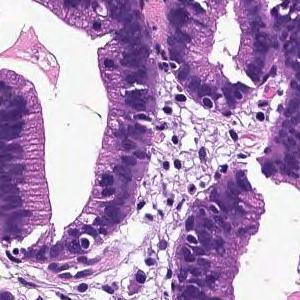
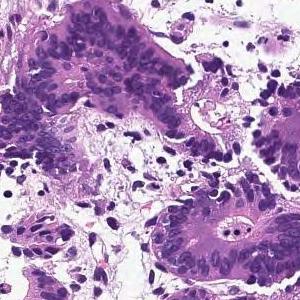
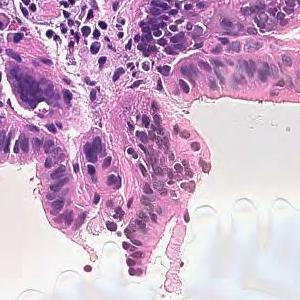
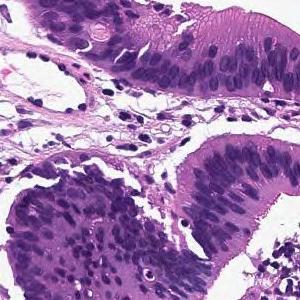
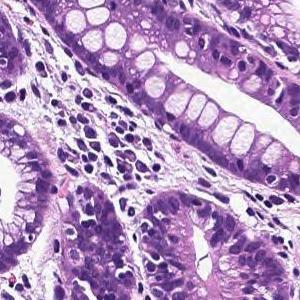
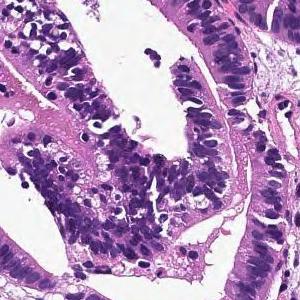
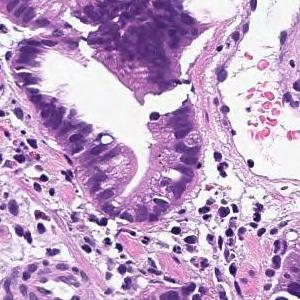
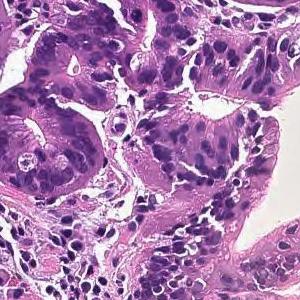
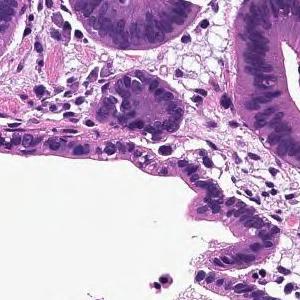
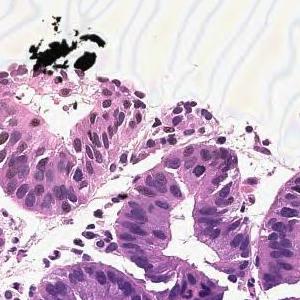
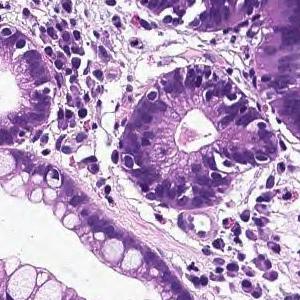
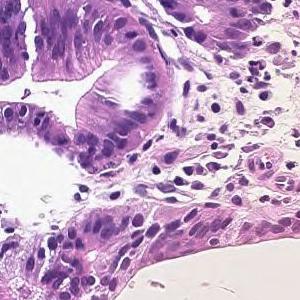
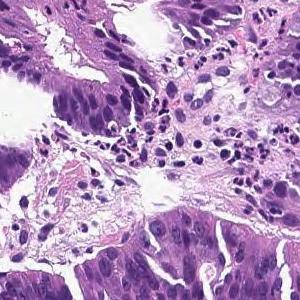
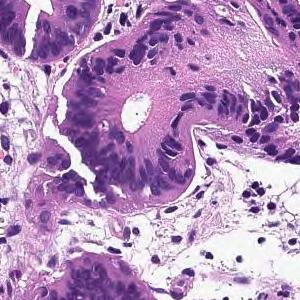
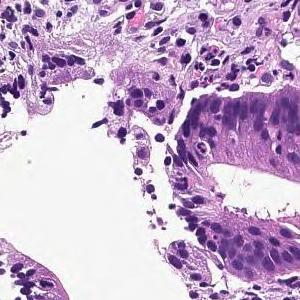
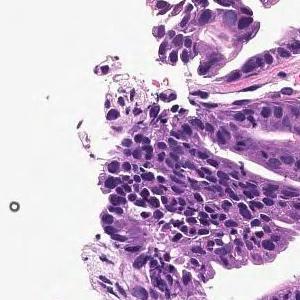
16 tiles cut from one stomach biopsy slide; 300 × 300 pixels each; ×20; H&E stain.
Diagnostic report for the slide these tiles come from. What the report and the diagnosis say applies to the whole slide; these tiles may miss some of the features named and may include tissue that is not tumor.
Infiltrating tumor tissue is observed in the superficial epithelium, showing large papillary structures or large and small ducts. Papillary adenocarcinoma
